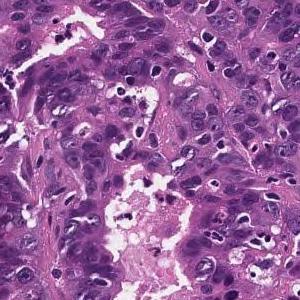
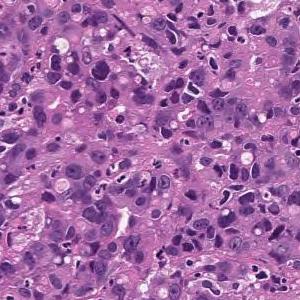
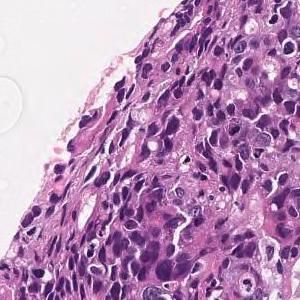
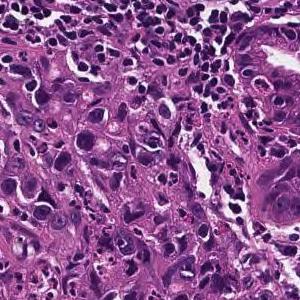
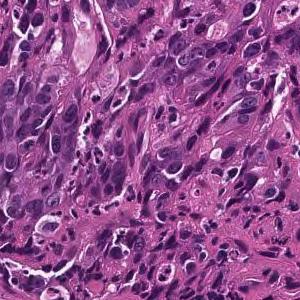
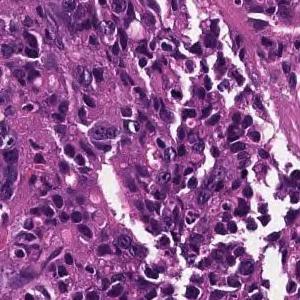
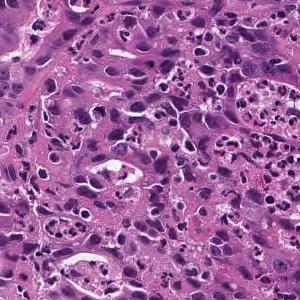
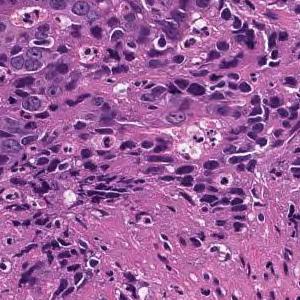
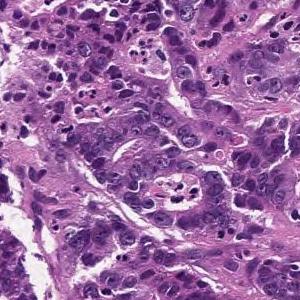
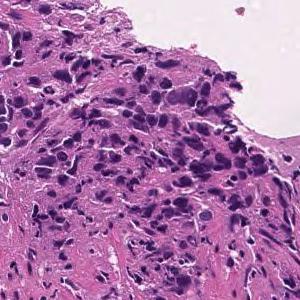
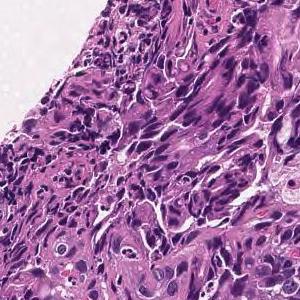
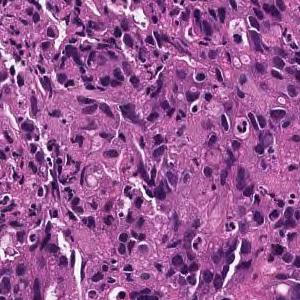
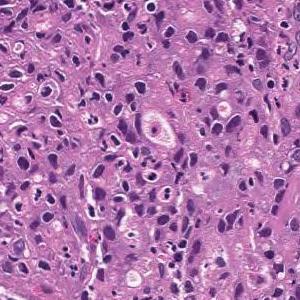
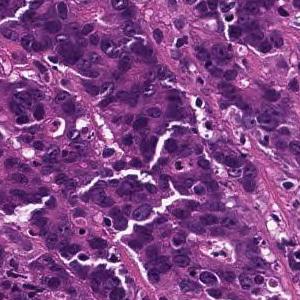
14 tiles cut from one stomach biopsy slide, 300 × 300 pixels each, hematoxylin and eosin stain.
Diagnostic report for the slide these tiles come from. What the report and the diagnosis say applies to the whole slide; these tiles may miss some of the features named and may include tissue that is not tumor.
In the superficial epithelium, tumor tissue that invades by forming medium-sized to small, irregular ducts is observed. moderately differentiated tubular adenocarcinoma.
